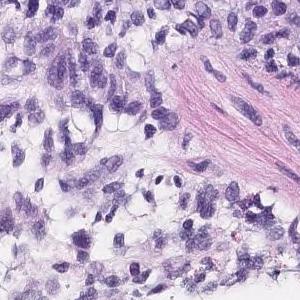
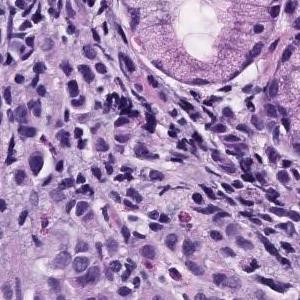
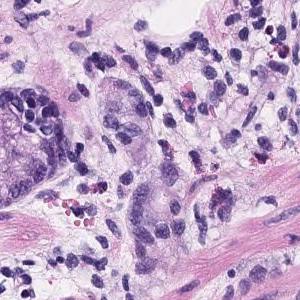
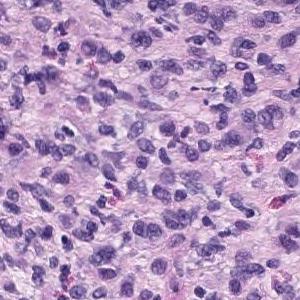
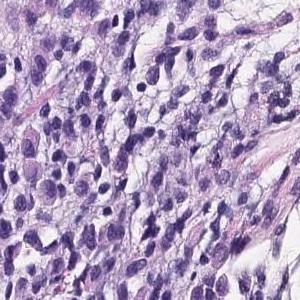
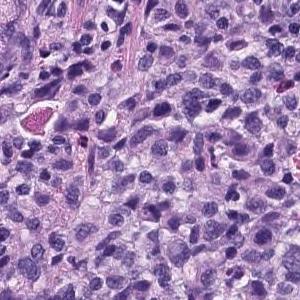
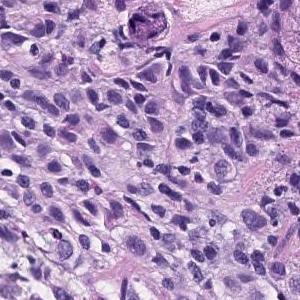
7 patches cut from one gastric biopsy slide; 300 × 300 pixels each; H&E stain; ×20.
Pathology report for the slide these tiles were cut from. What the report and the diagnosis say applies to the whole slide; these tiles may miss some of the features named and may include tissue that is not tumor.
There are medium-sized atypical cells with marked nuclear swelling and increased N/C ratio, which grow into solid or isolated scattered cells. Poorly differentiated adenocarcinoma
Classified as poorly differentiated adenocarcinoma, solid type (Japanese Classification of Gastric Carcinoma). The WHO 2019 equivalent is tubular adenocarcinoma, poorly differentiated.
